H&E stain; ×20; 10 tiles cut from one stomach biopsy slide; each 300 × 300 pixels.
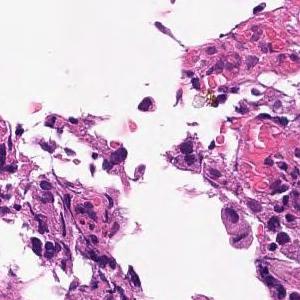
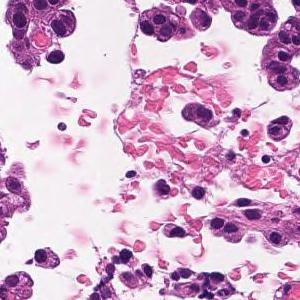
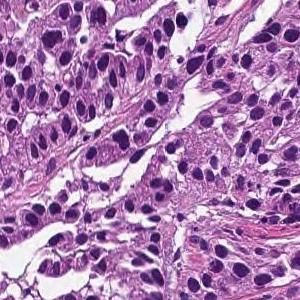
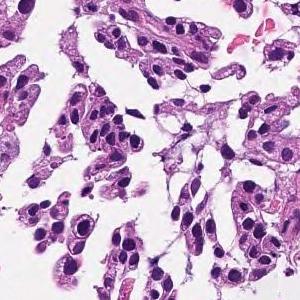
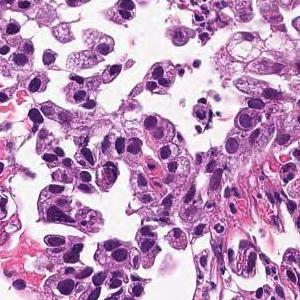
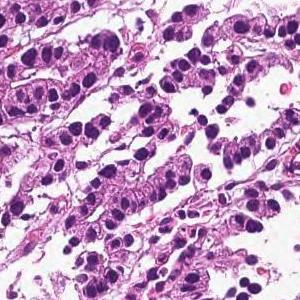
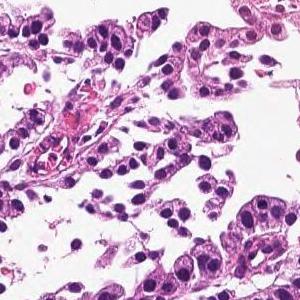
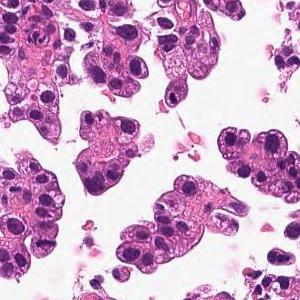
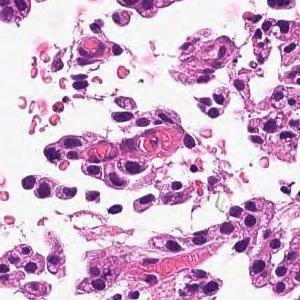
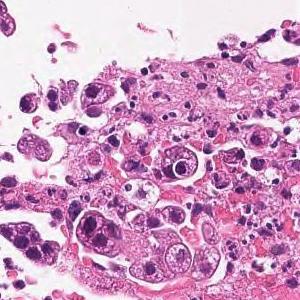
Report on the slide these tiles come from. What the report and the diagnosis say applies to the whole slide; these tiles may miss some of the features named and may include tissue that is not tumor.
In the superficial epithelium, tumor tissue that invades by forming medium-sized to small, irregular ducts is observed. moderately differentiated tubular adenocarcinoma.
